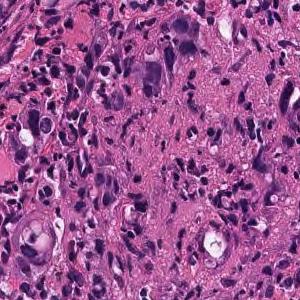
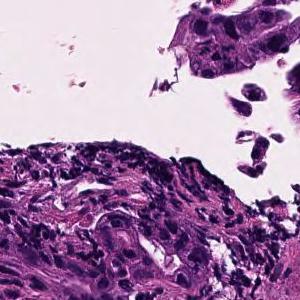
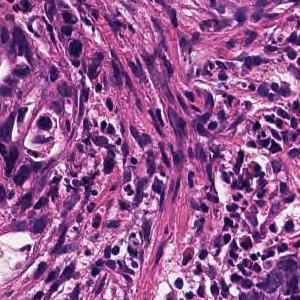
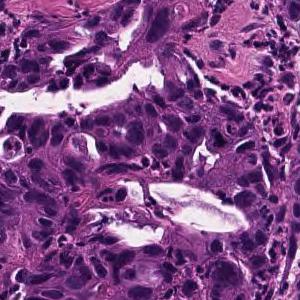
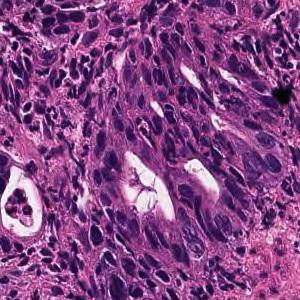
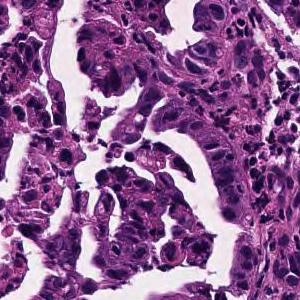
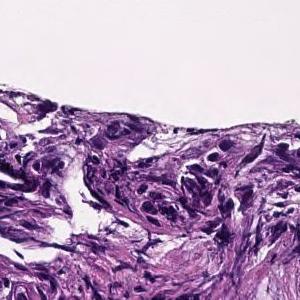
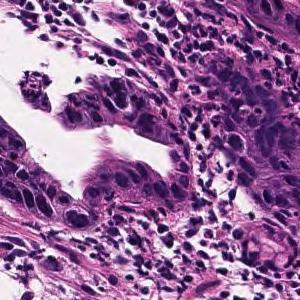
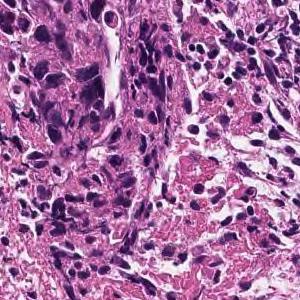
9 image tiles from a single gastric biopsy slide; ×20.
The pathologist's report on the biopsy slide these tiles were taken from. Both the report and the diagnosis are for the whole slide: these tiles need not show every feature named, and some of the tissue shown may not be tumor.
In the superficial epithelium, medium-sized to small irregular glandular ducts are formed, and in some cases, the glandular ducts are fused or small cord-like infiltrating tumor tissue is observed. moderately differentiated tubular adenocarcinoma
